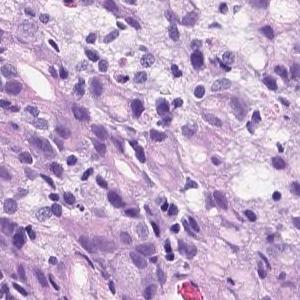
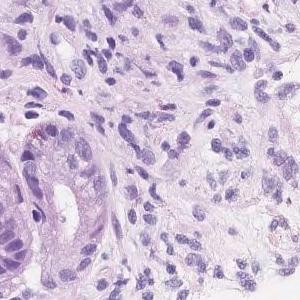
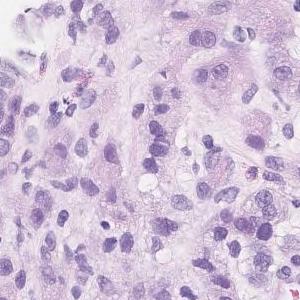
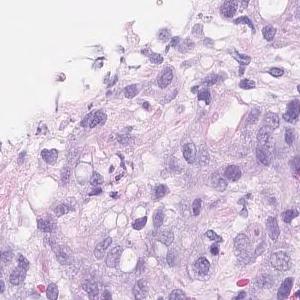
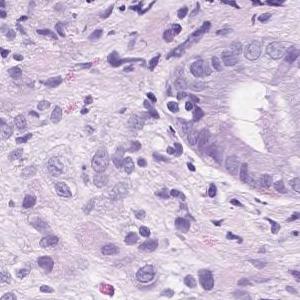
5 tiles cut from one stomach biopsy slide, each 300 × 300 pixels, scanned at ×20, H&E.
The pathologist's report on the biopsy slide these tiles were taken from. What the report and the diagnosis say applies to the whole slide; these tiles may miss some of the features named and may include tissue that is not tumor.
Group 5, Adenocarcinoma. Poorly differentiated adenocarcinoma, non-solid type
The non-solid type named here is a Japanese Classification of Gastric Carcinoma category.
